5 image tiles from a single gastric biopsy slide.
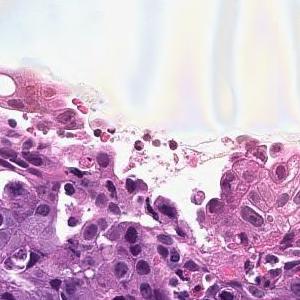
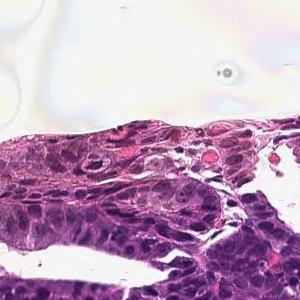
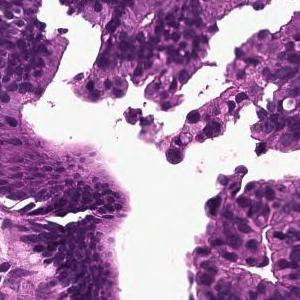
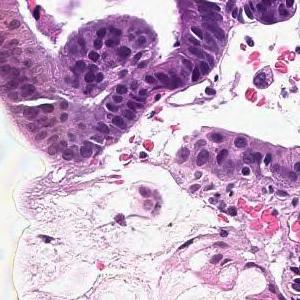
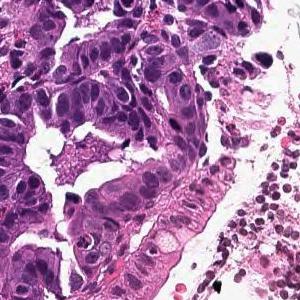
Pathology report for the biopsy slide these tiles were cut from. The report and the diagnosis cover the entire slide, so not every feature they name need be visible here, and some tissue shown may not be tumor.
Tumor cells are large, highly columnar, large club-shaped nuclei, and are associated with chromatin aggregation. Papillary adenocarcinoma.
